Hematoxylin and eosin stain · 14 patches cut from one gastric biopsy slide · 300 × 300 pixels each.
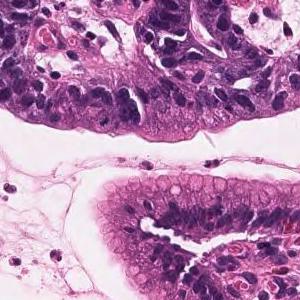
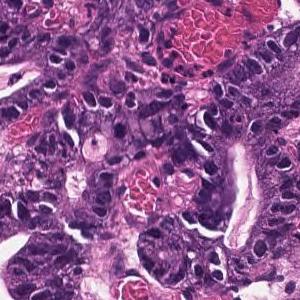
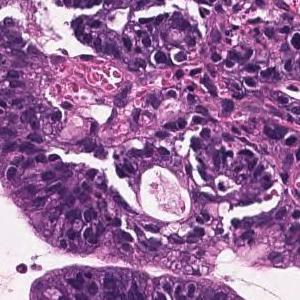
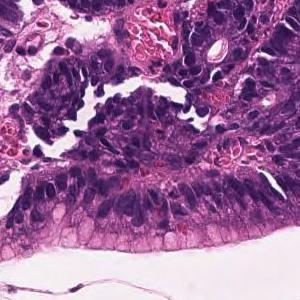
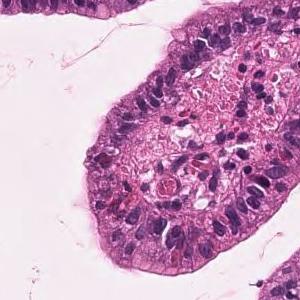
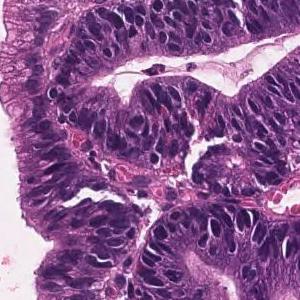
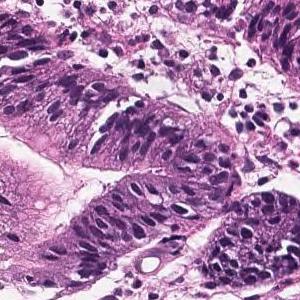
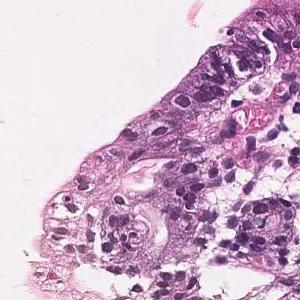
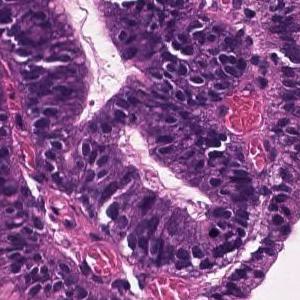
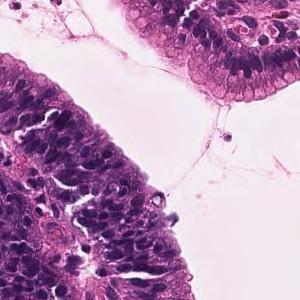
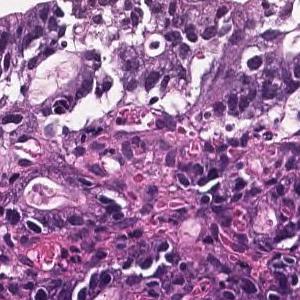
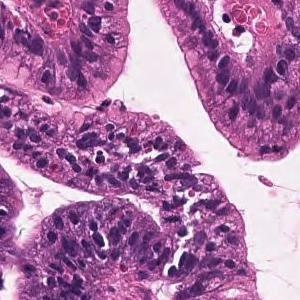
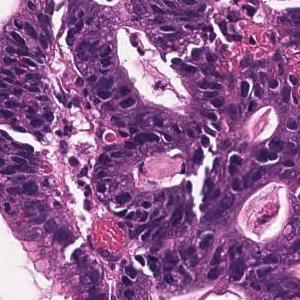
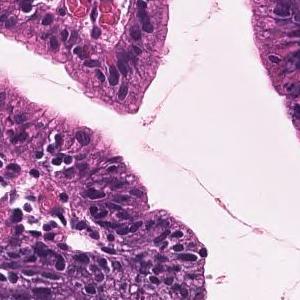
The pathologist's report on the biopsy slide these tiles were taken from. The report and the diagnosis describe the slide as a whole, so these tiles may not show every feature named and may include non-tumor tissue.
On the superficial epithelium, tumor tissue that infiltrates by forming medium-sized papillary or small irregular ducts is observed. Papillary adenocarcinoma
